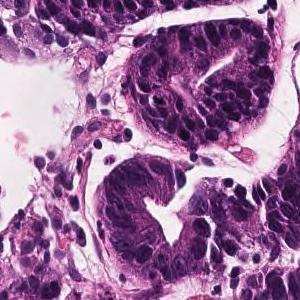
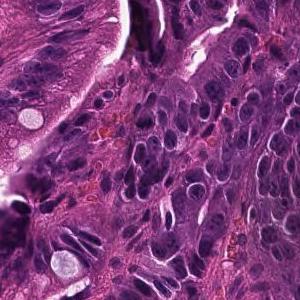
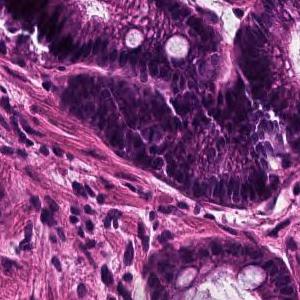
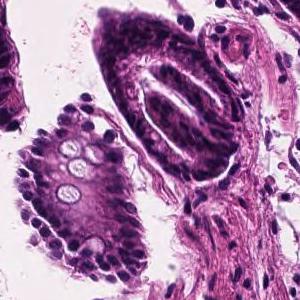
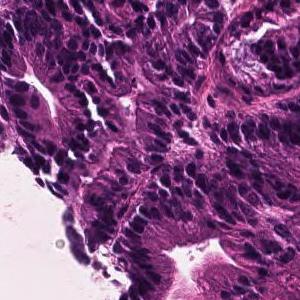
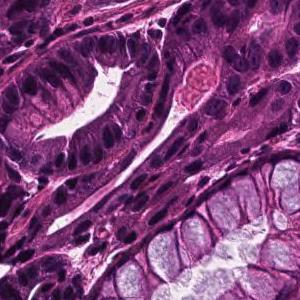
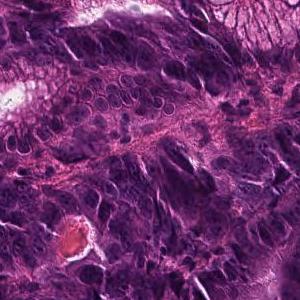
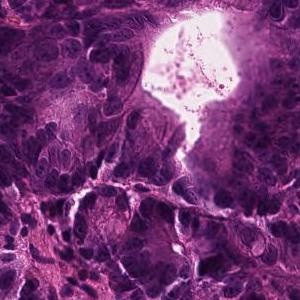
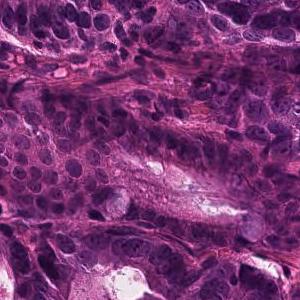
9 tiles from the same stomach biopsy slide · 300×300 px each · H&E · ×20.
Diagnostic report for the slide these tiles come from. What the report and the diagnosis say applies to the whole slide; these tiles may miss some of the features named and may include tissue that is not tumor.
In the superficial epithelium, tumor tissue that invades by forming medium-sized to small, irregular ducts is observed. Well differentiated tubular adenocarcinoma.
